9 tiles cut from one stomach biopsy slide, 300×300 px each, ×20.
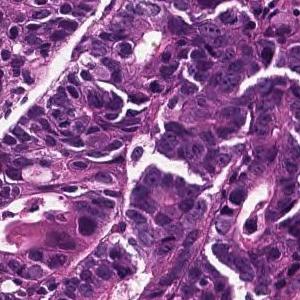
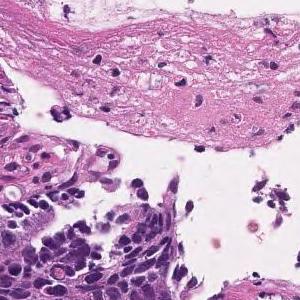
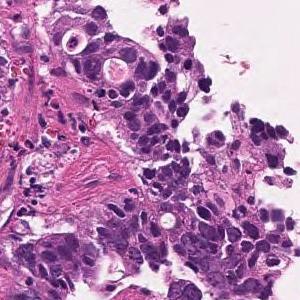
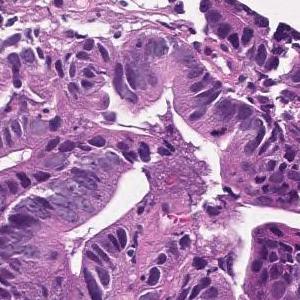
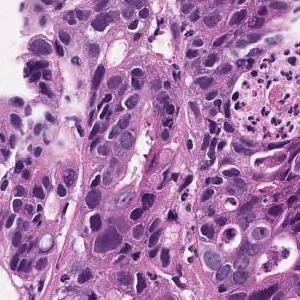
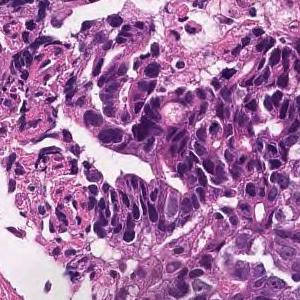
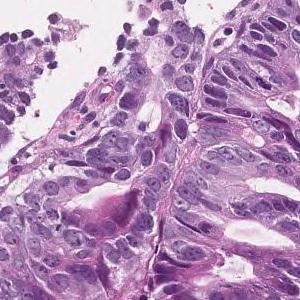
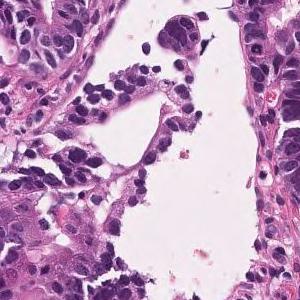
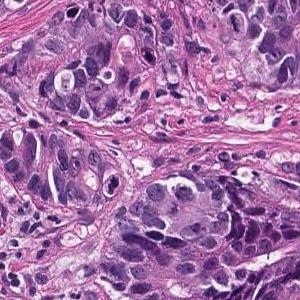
Pathology report for the slide these tiles were cut from. Both the report and the diagnosis are for the whole slide: these tiles need not show every feature named, and some of the tissue shown may not be tumor.
In the superficial epithelium, tumor tissue that invades by forming medium-sized to small, irregular ducts is observed. moderately differentiated tubular adenocarcinoma.
